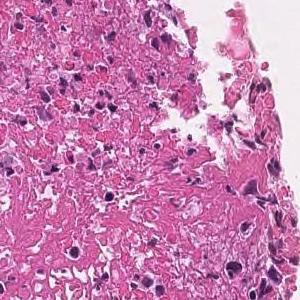
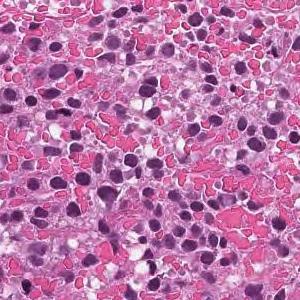
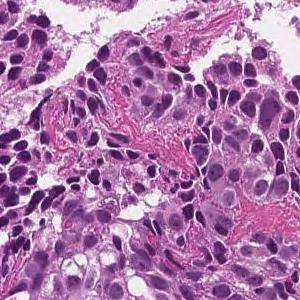
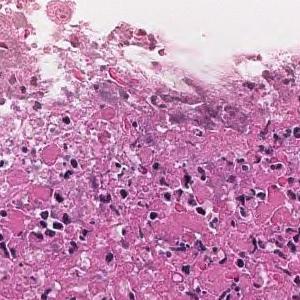
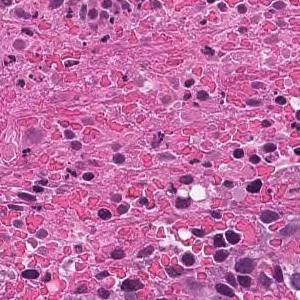
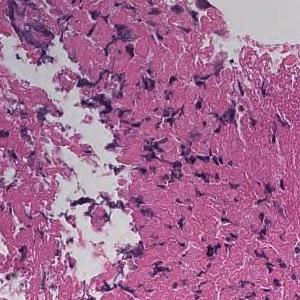
H&E stain, 6 tiles cut from one stomach biopsy slide.
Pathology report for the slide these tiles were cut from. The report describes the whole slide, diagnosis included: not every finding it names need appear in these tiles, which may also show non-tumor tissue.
The superficial epithelium shows a large sheet-like shape, and some tumor tissue infiltrates with small irregular ducts. Poorly differentiated adenocarcinoma, solid-type
Histologic type: Poorly differentiated adenocarcinoma, solid type (Japanese Classification of Gastric Carcinoma). The WHO 2019 equivalent is tubular adenocarcinoma, poorly differentiated.
